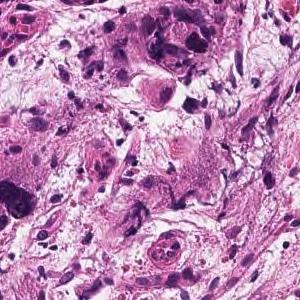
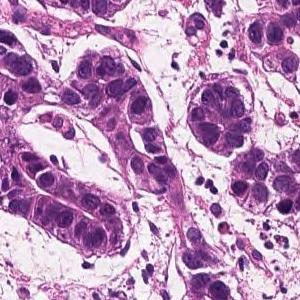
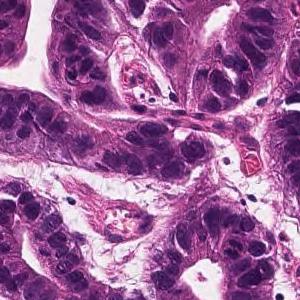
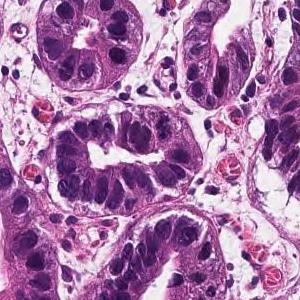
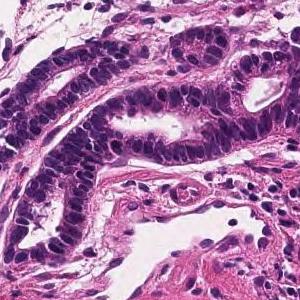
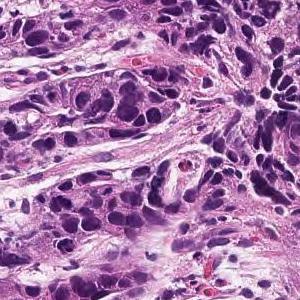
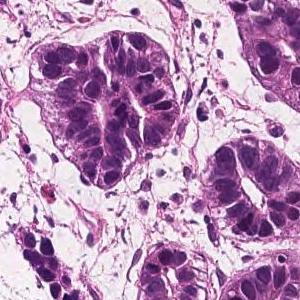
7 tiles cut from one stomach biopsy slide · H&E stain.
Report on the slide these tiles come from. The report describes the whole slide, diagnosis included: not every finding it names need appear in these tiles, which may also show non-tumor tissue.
In the superficial epithelium, tumor tissue that invades by forming medium-sized to small, irregular ducts is observed. Well differentiated tubular adenocarcinoma.
